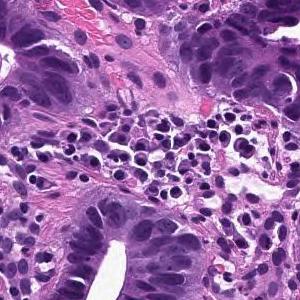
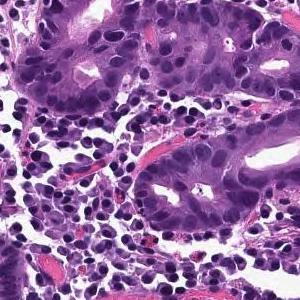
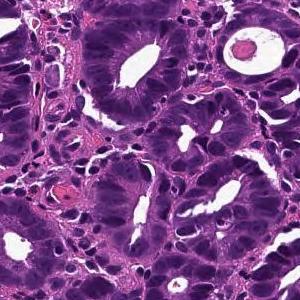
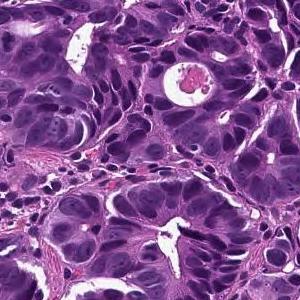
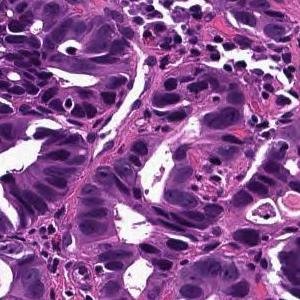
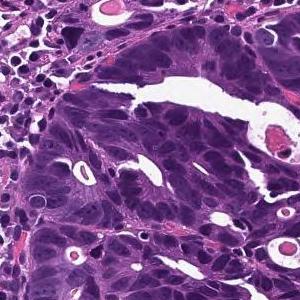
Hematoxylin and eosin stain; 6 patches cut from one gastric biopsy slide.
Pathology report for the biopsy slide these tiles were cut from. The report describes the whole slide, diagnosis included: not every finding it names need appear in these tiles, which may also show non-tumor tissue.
From the superficial epithelium to the muscularis mucosae, tumor tissue consisting of medium-sized and irregular glandular ducts infiltrating is observed. Well differentiated tubular adenocarcinoma
